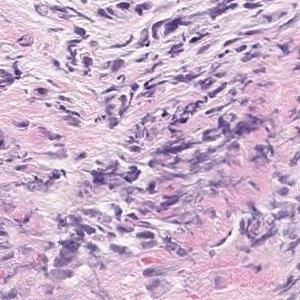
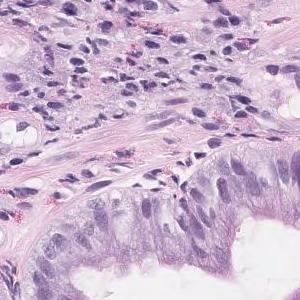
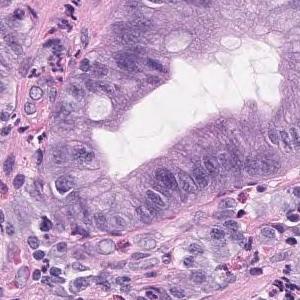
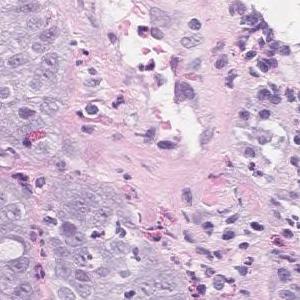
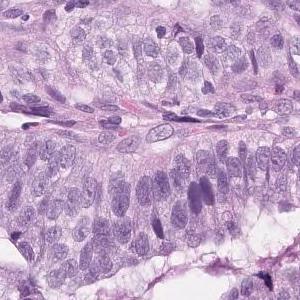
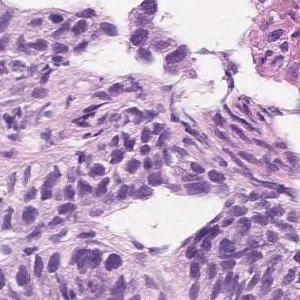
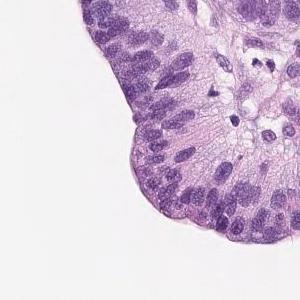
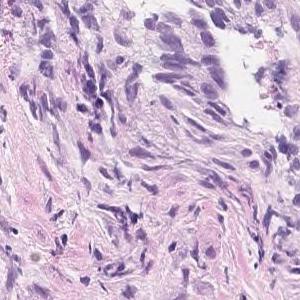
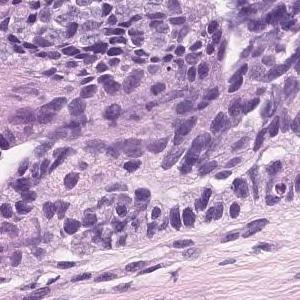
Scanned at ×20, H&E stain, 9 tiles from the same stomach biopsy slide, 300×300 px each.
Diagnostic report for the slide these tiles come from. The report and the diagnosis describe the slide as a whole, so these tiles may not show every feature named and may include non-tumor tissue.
Tumor tissue in which highly columnar atypical epithelial cells with nuclear enlargement and increased nuclear chromatin show papillary to papillary ductal structure and proliferate is observed. Papillary adenocarcinoma.
